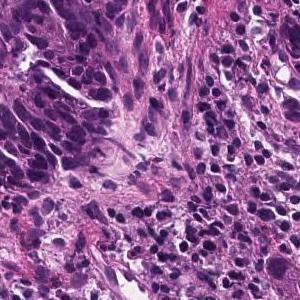
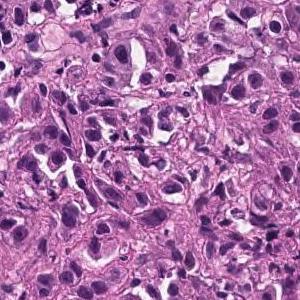
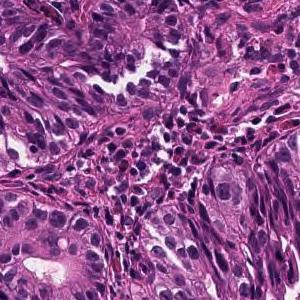
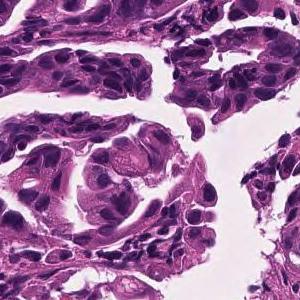
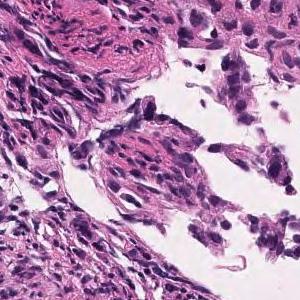
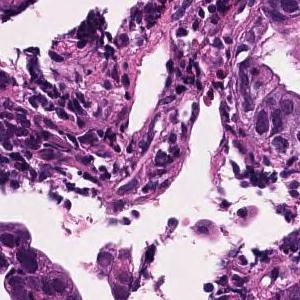
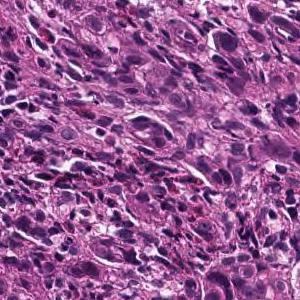
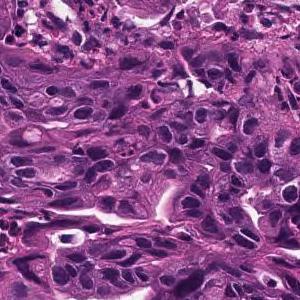
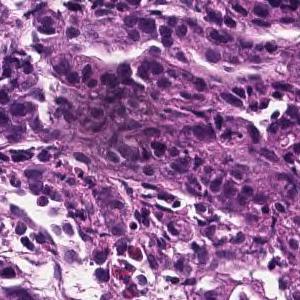
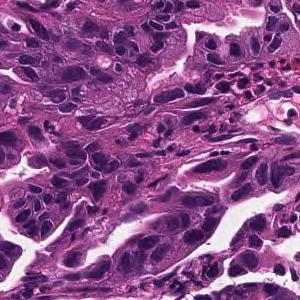
10 tiles cut from one stomach biopsy slide; each 300 × 300 pixels; H&E; 20× magnification.
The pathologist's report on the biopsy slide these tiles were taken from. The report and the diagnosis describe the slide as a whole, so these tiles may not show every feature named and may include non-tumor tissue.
Tumor tissue consisting of medium-sized, cord-like or irregular glandular infiltration is observed in the superficial epithelium. Poorly differentiated adenocarcinoma, non-solid type or moderately differentiated tubular adenocarcinoma
"Non-solid type" is a category of the Japanese Classification of Gastric Carcinoma.
